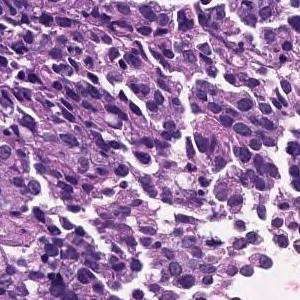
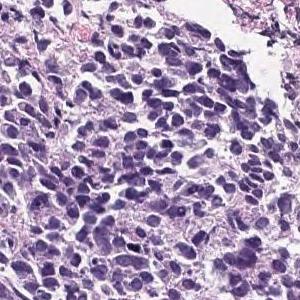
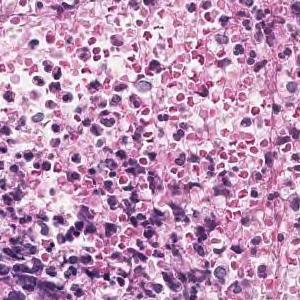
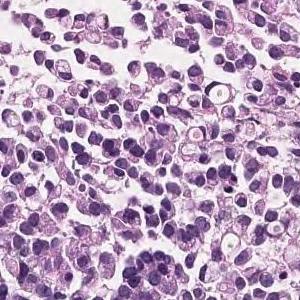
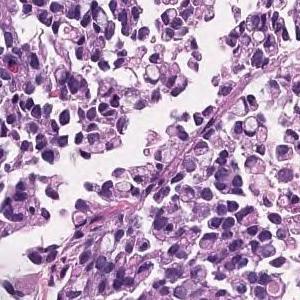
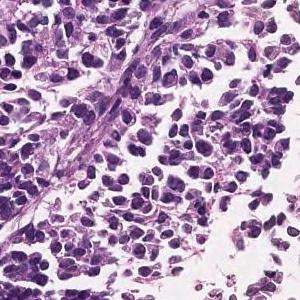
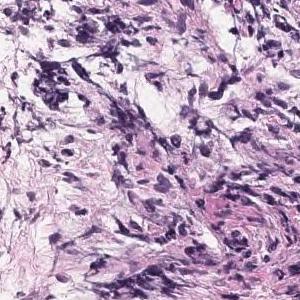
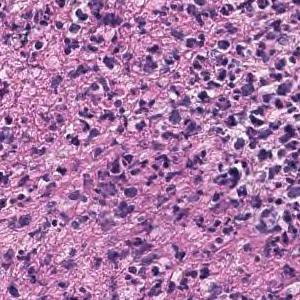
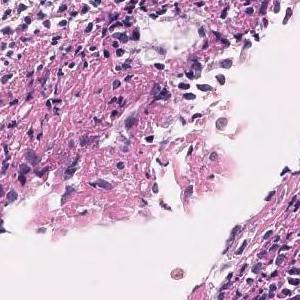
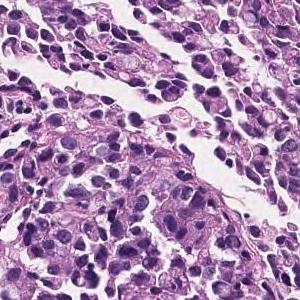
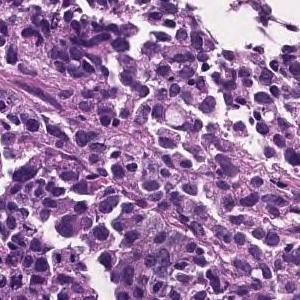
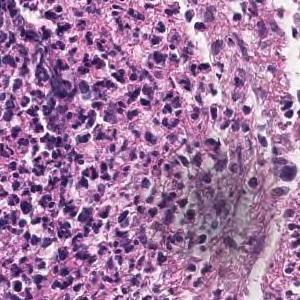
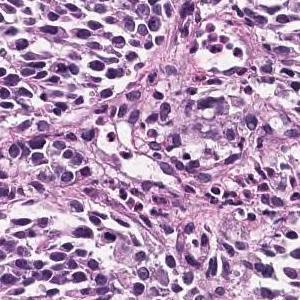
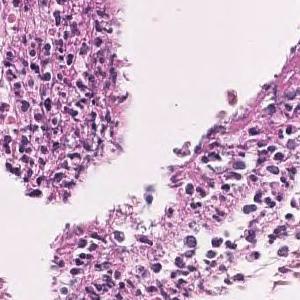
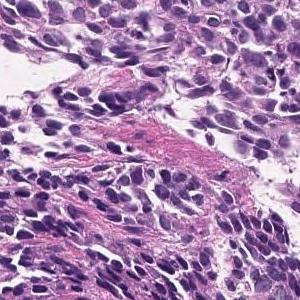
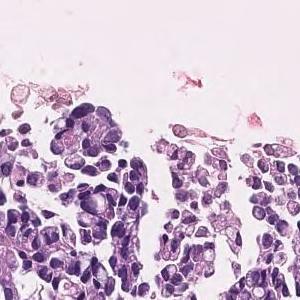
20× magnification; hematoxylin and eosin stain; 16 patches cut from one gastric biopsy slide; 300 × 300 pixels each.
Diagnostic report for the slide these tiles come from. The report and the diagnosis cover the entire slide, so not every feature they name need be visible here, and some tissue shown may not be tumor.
The superficial epithelium shows a large sheet-like shape, and some tumor tissue infiltrates with small irregular ducts. Poorly differentiated adenocarcinoma, solid-type
Histological subtype: Poorly differentiated adenocarcinoma, solid type. This name comes from the Japanese Classification of Gastric Carcinoma; the WHO 2019 classification calls it tubular adenocarcinoma, poorly differentiated.
